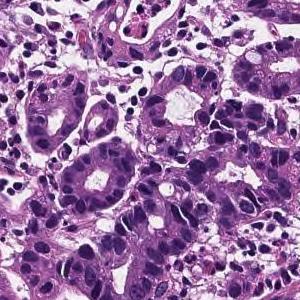
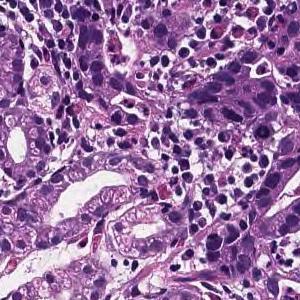
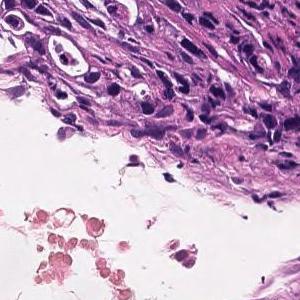
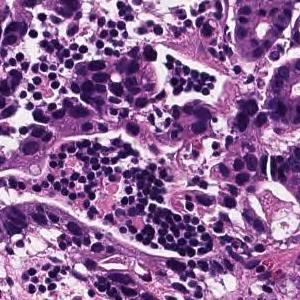
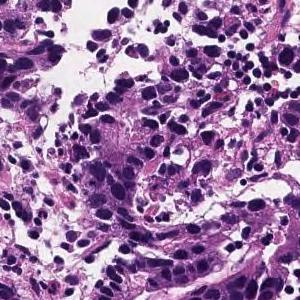
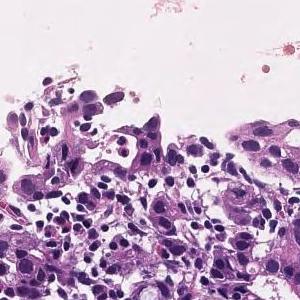
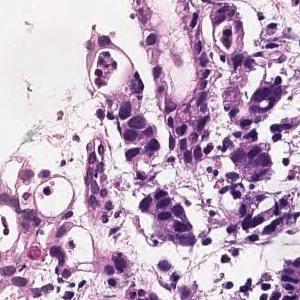
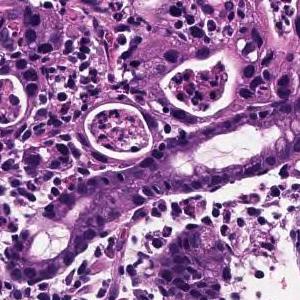
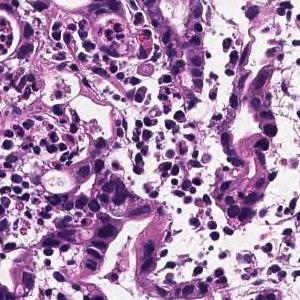
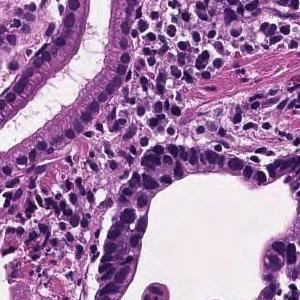
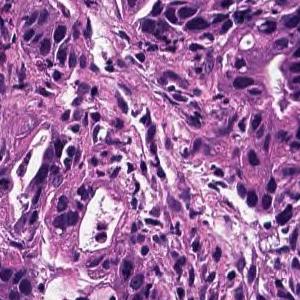
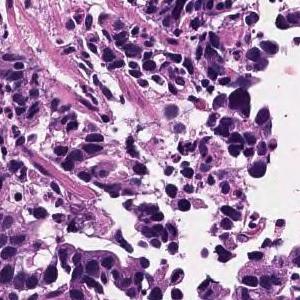
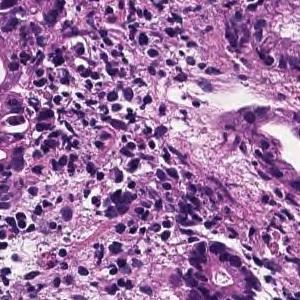
13 tiles from the same stomach biopsy slide, each 300 × 300 pixels, hematoxylin and eosin stain.
Pathology report for the biopsy slide these tiles were cut from. What the report and the diagnosis say applies to the whole slide; these tiles may miss some of the features named and may include tissue that is not tumor.
In the superficial epithelium, tumor tissue that invades by forming medium-sized to small, irregular ducts is observed. moderately differentiated tubular adenocarcinoma.
